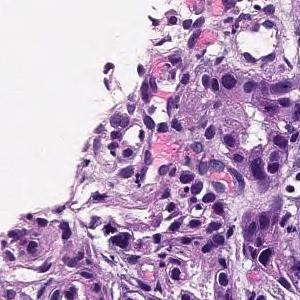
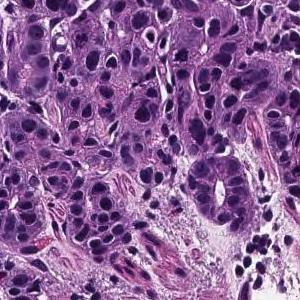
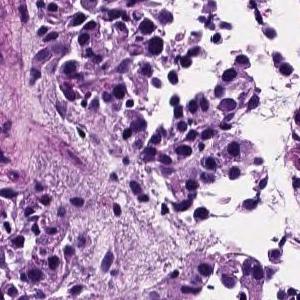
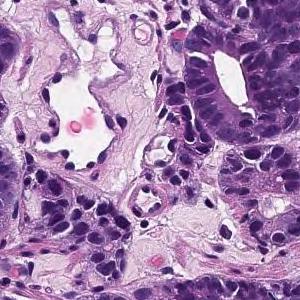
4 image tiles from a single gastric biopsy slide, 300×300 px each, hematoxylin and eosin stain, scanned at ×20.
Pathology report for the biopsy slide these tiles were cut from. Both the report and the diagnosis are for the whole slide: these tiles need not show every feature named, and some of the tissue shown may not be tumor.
From the superficial epithelium to the muscularis mucosae, tumor tissue consisting of medium-sized and irregular glandular ducts infiltrating is observed. Well differentiated tubular adenocarcinoma
